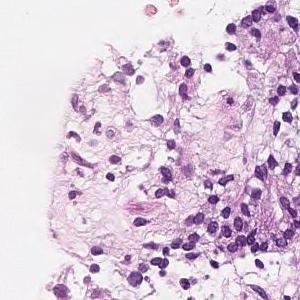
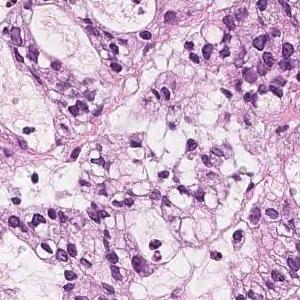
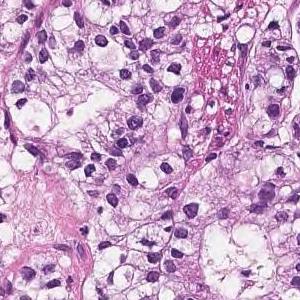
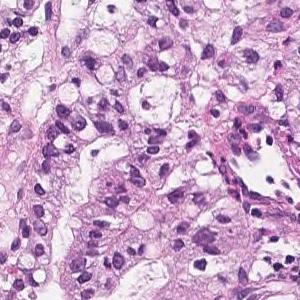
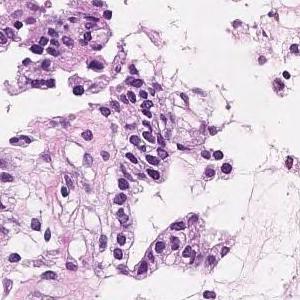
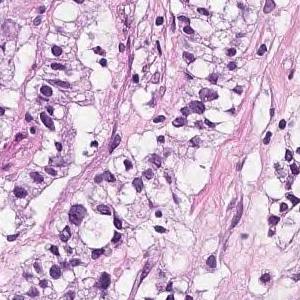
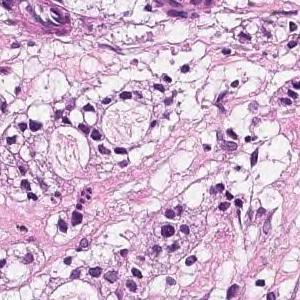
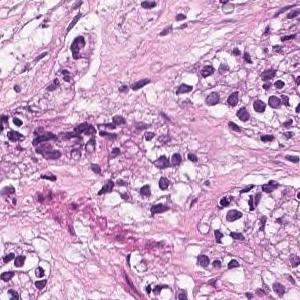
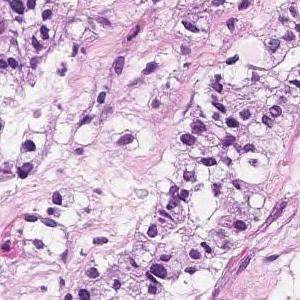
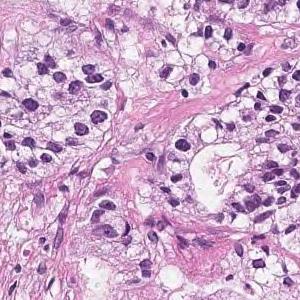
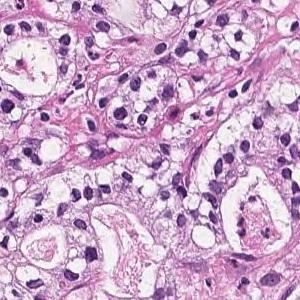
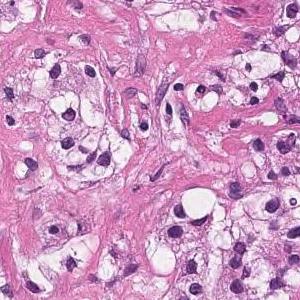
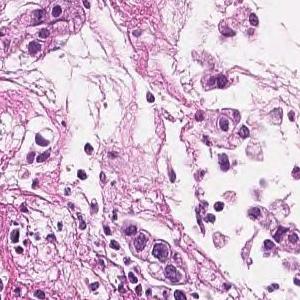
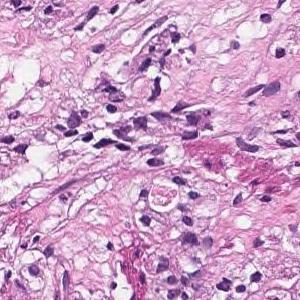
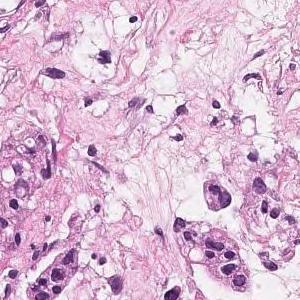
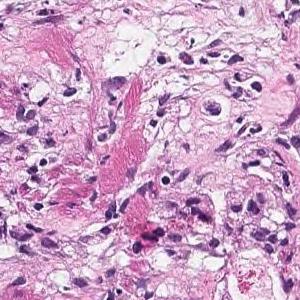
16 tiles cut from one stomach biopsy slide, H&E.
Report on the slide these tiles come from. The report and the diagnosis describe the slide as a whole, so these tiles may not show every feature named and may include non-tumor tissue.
In the superficial epithelium, tumor tissue that invades by forming medium-sized to small, irregular ducts is observed. moderately differentiated tubular adenocarcinoma.
